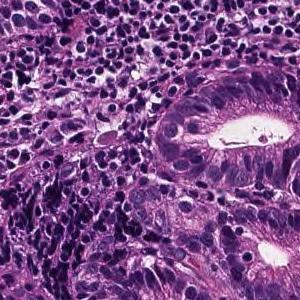
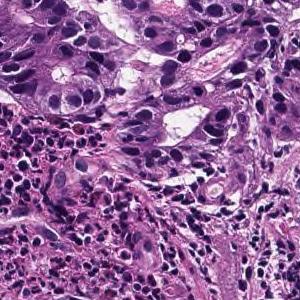
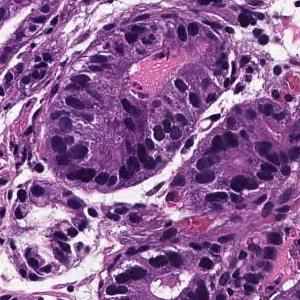
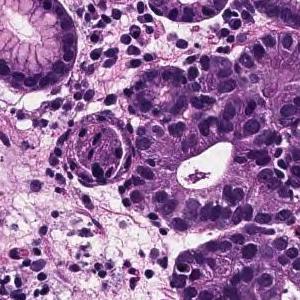
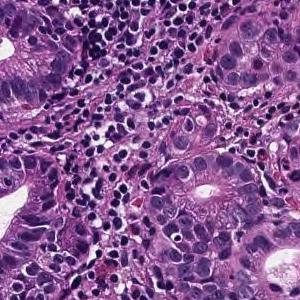
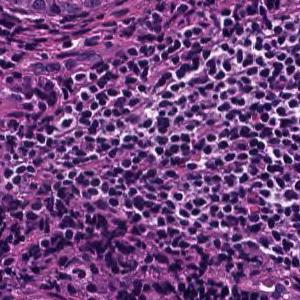
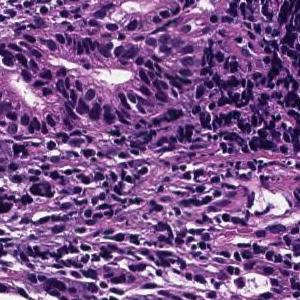
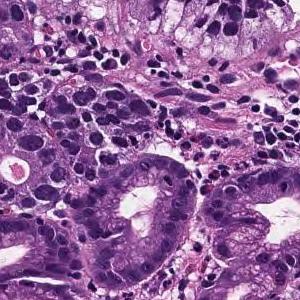
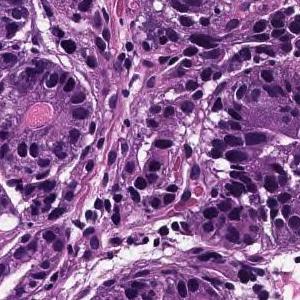
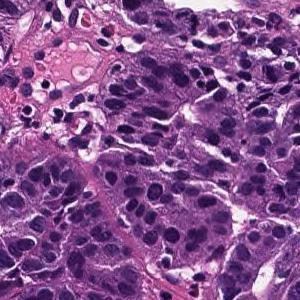
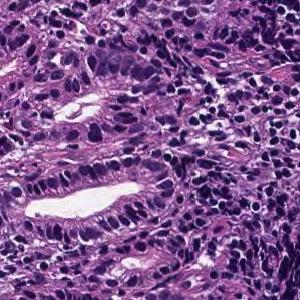
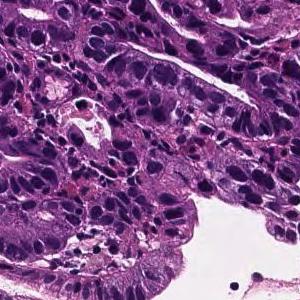
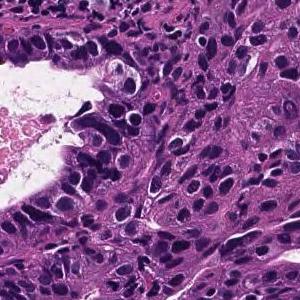
13 image tiles from a single gastric biopsy slide · each 300 × 300 pixels · H&E stain · 20× magnification.
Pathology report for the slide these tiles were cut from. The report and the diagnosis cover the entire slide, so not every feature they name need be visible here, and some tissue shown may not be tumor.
In the superficial epithelium, tumor tissue that invades by forming medium-sized to small, irregular ducts is observed. Well differentiated tubular adenocarcinoma.
